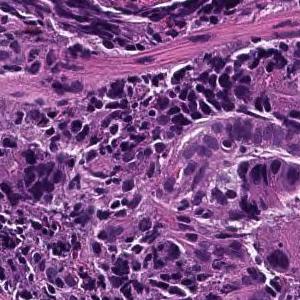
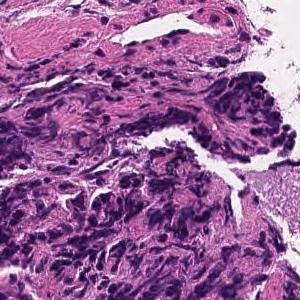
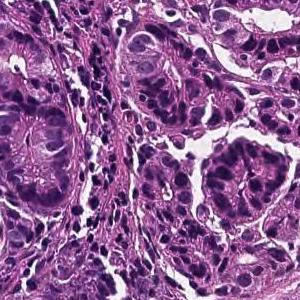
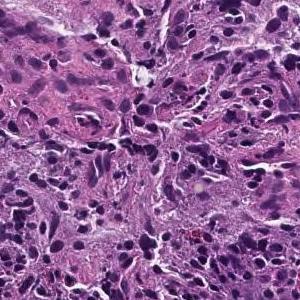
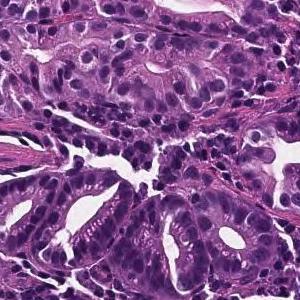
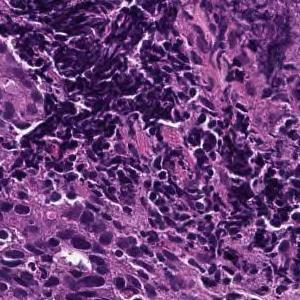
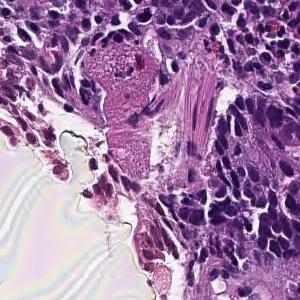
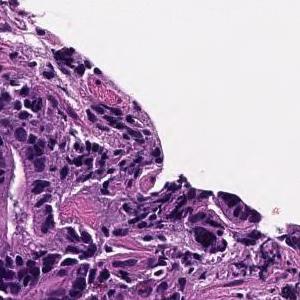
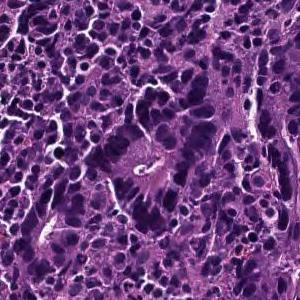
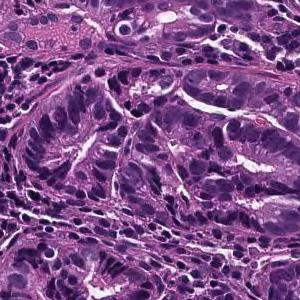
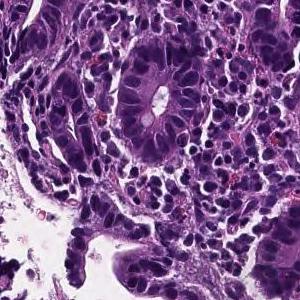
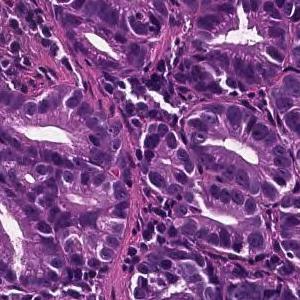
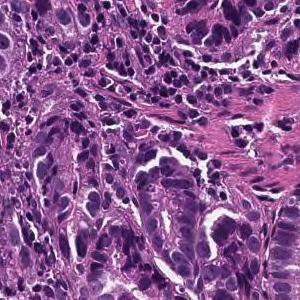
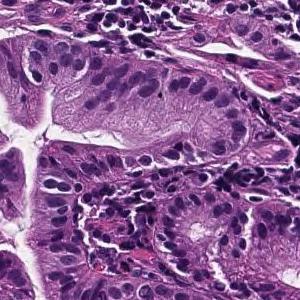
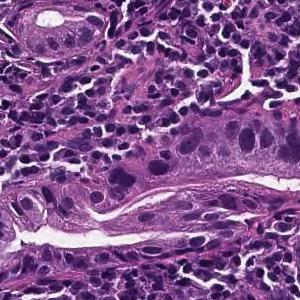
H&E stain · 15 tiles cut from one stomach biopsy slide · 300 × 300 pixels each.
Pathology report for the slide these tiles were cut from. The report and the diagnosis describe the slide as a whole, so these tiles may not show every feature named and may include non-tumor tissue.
On the superficial epithelium, tumor tissue consisting of large irregular glandular ducts partially fused and infiltrated is observed. Well to moderately differentiated tubular adenocarcinoma (well differentiated tubular adenocarcinoma, moderately differentiated tubular adenocarcinoma)
Histologic type: Well to moderately differentiated tubular adenocarcinoma.
